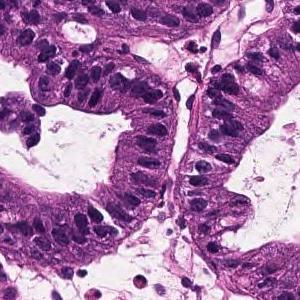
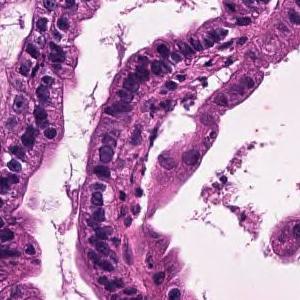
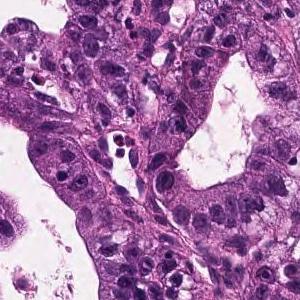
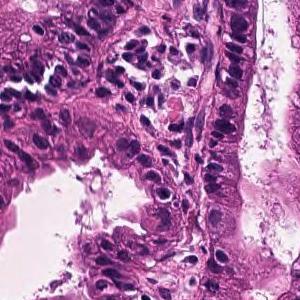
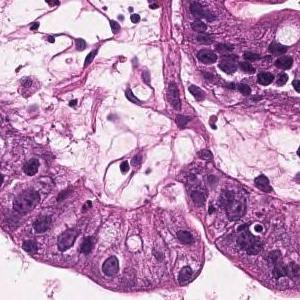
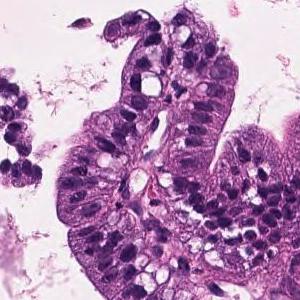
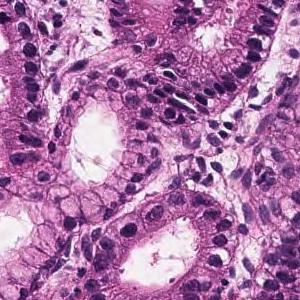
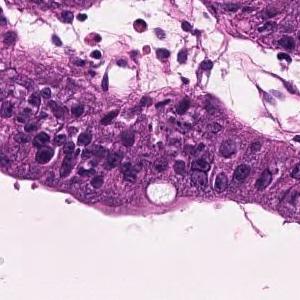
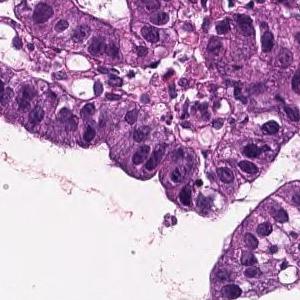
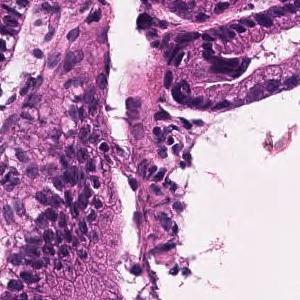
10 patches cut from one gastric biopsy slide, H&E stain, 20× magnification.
The pathologist's report on the biopsy slide these tiles were taken from. What the report and the diagnosis say applies to the whole slide; these tiles may miss some of the features named and may include tissue that is not tumor.
On the superficial epithelium, tumor tissue that infiltrates by forming medium-sized papillary or small irregular ducts is observed. Papillary adenocarcinoma
